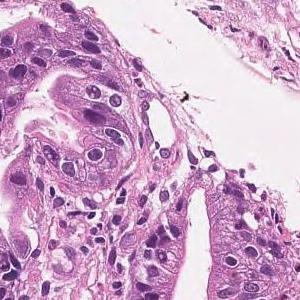
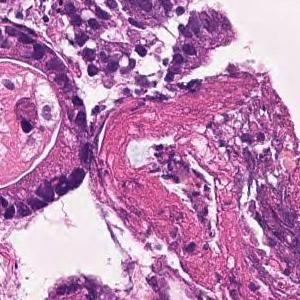
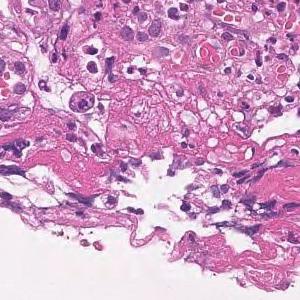
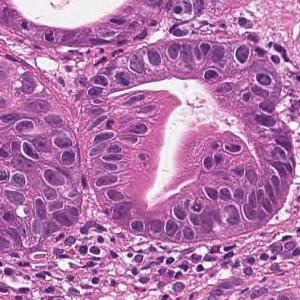
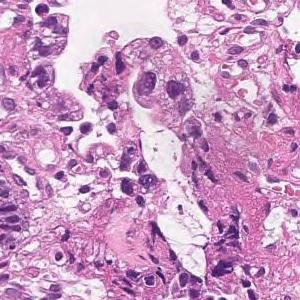
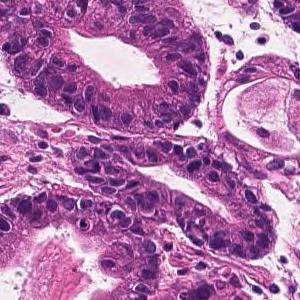
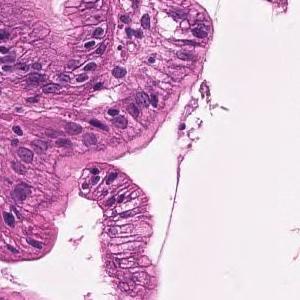
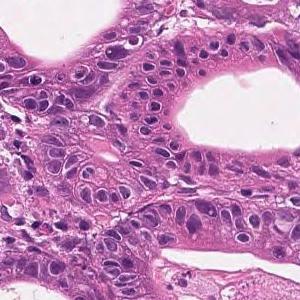
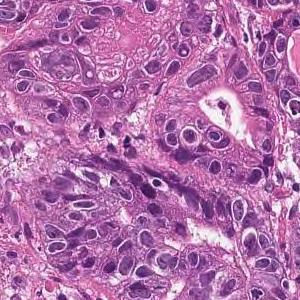
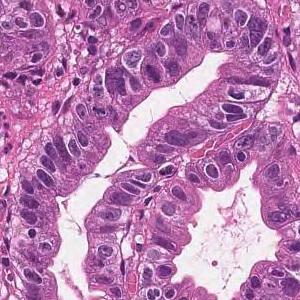
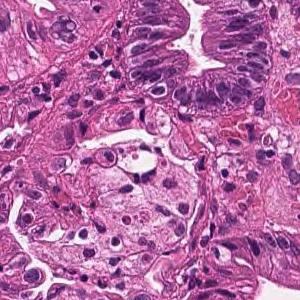
11 patches cut from one gastric biopsy slide, 300 × 300 pixels each, hematoxylin and eosin stain, ×20.
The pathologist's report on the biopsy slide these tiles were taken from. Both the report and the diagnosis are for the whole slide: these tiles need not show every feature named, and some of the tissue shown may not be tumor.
In the superficial epithelium, tumor tissue that invades by forming medium-sized to small, irregular ducts is observed. Well differentiated tubular adenocarcinoma.
